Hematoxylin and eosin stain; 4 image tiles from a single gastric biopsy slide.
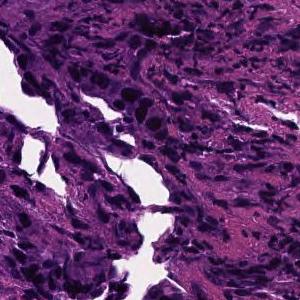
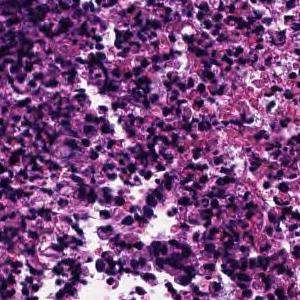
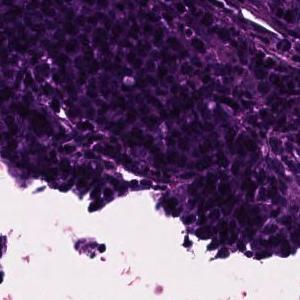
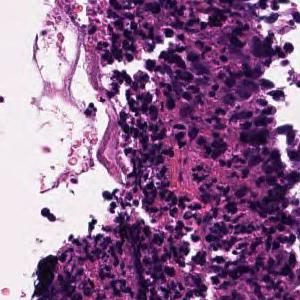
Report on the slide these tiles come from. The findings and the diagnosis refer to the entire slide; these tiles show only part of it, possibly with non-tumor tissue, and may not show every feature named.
In the superficial epithelium, tumor tissue that invades by forming medium-sized to small, irregular ducts is observed. moderately differentiated tubular adenocarcinoma.
